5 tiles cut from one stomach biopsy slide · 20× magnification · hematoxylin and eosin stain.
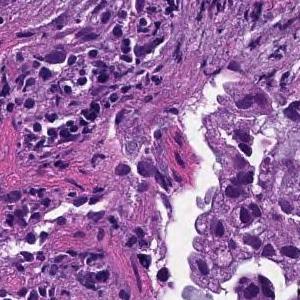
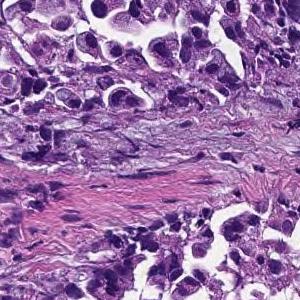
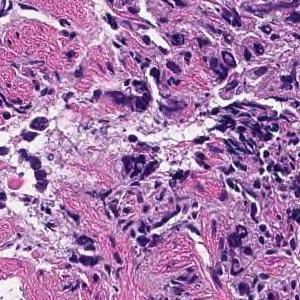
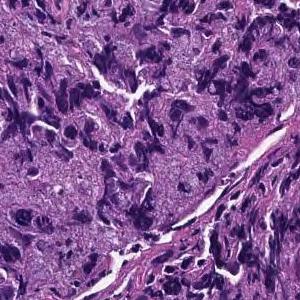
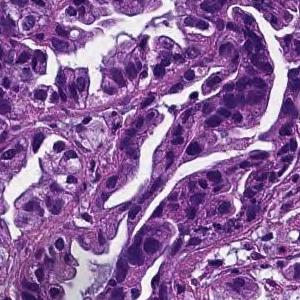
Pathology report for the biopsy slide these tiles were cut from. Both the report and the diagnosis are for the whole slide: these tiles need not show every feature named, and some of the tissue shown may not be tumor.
Tumor tissue consisting of medium-sized, cord-like or irregular glandular infiltration is observed in the superficial epithelium. Poorly differentiated adenocarcinoma, non-solid type or moderately differentiated tubular adenocarcinoma
Histologic type: Moderately to poorly differentiated adenocarcinoma.
The non-solid type named here is a Japanese Classification of Gastric Carcinoma category.
